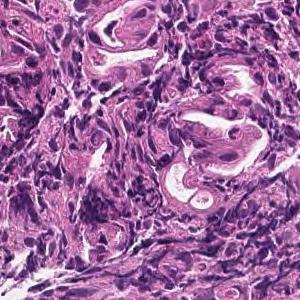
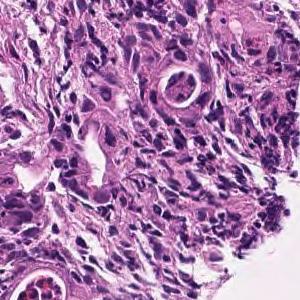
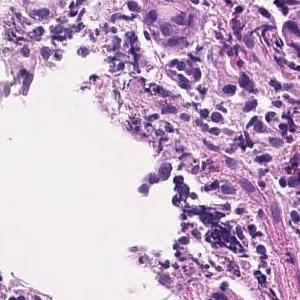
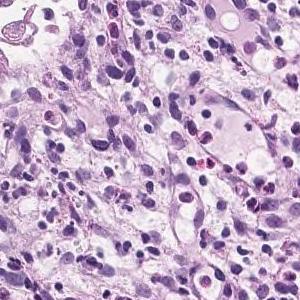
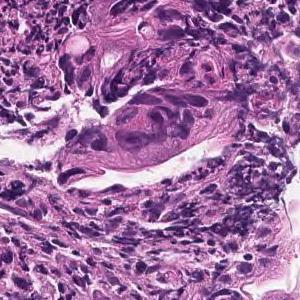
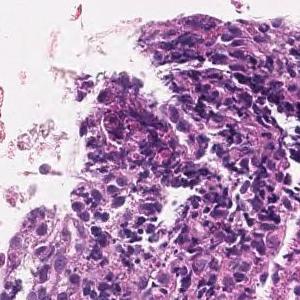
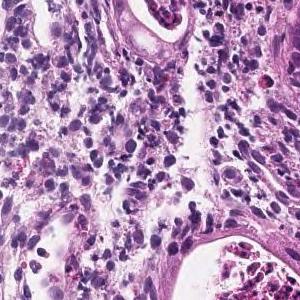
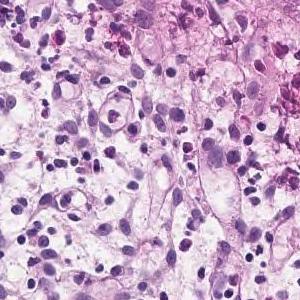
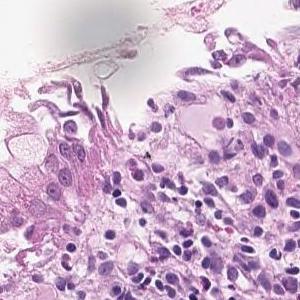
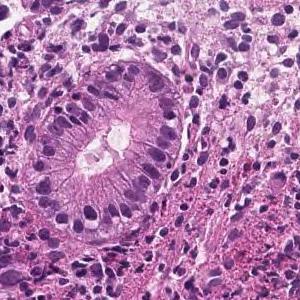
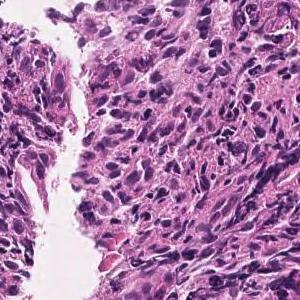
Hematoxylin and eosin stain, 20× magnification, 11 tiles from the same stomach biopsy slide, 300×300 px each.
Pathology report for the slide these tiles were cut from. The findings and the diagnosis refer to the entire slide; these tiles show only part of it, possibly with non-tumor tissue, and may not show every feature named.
In the superficial epithelium, tumor tissue that invades by forming medium-sized to small, irregular ducts is observed. moderately differentiated tubular adenocarcinoma.
